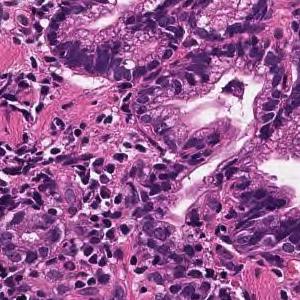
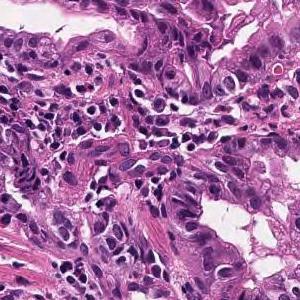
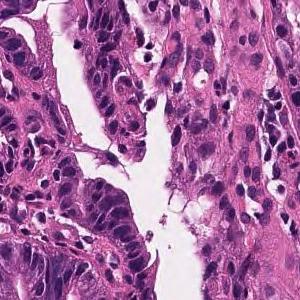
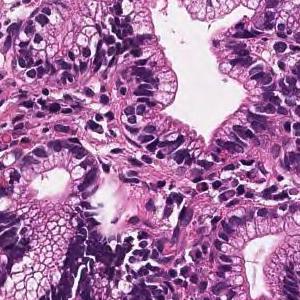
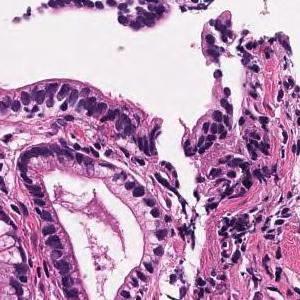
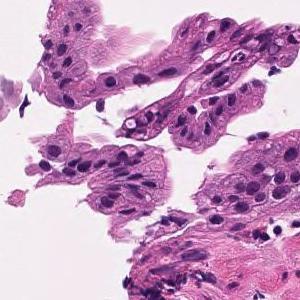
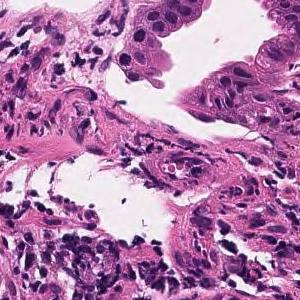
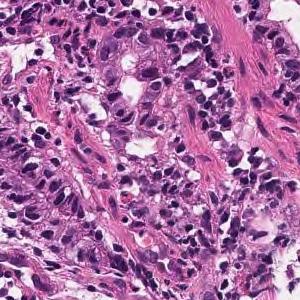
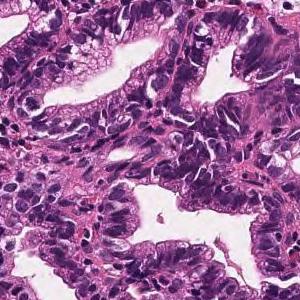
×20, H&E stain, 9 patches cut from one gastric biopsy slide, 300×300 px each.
Pathology report for the slide these tiles were cut from. The report and the diagnosis describe the slide as a whole, so these tiles may not show every feature named and may include non-tumor tissue.
Tumor tissue in which medium to small irregular ducts infiltrate and proliferate in the submucosa can be seen in the epithelium. Well differentiated tubular adenocarcinoma
